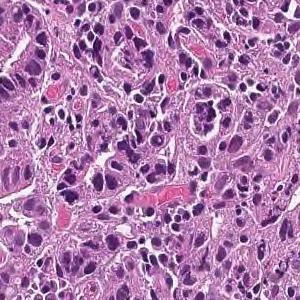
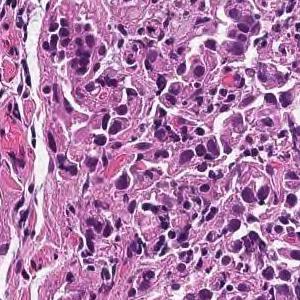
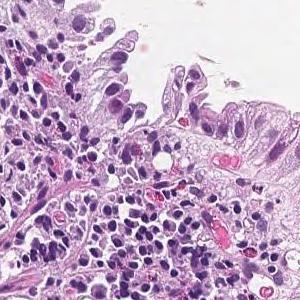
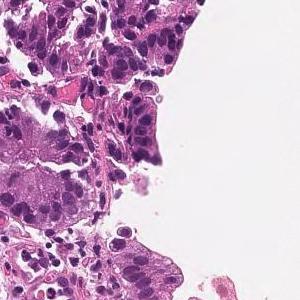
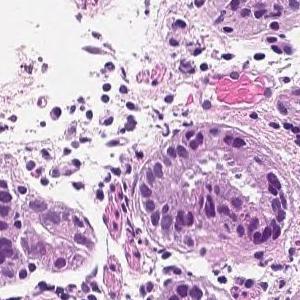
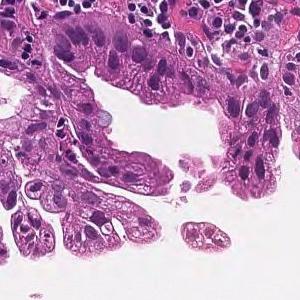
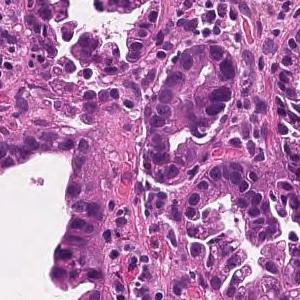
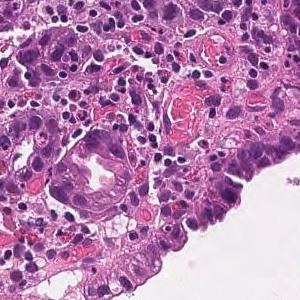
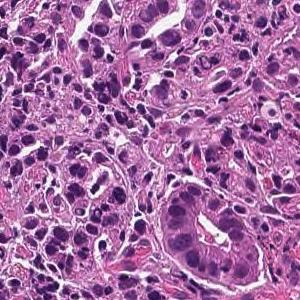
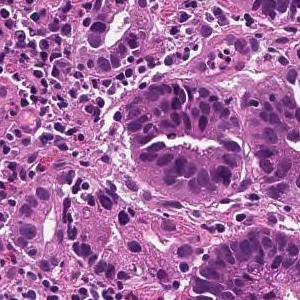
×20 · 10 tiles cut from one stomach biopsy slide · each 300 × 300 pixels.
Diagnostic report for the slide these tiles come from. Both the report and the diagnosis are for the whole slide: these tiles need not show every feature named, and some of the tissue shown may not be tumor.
On the superficial epithelium, tumor tissue consisting of large irregular glandular ducts partially fused and infiltrated is observed. Well to moderately differentiated tubular adenocarcinoma (well differentiated tubular adenocarcinoma, moderately differentiated tubular adenocarcinoma)
Tumor subtype: well to moderately differentiated tubular adenocarcinoma.
